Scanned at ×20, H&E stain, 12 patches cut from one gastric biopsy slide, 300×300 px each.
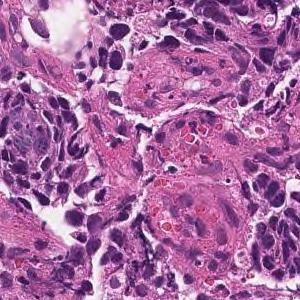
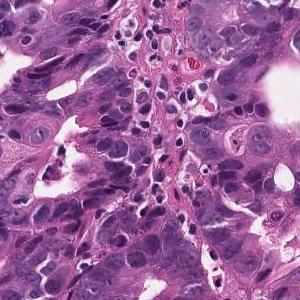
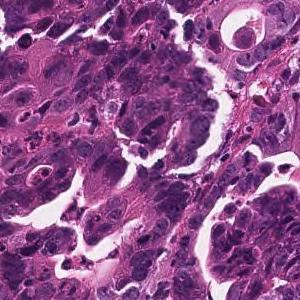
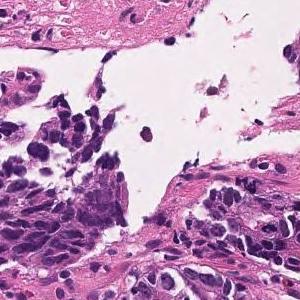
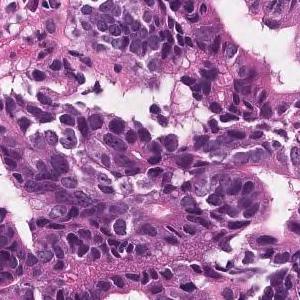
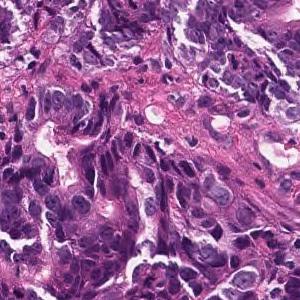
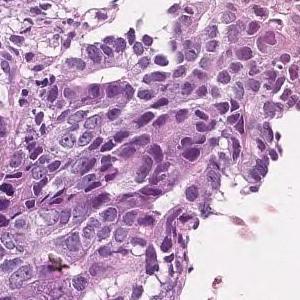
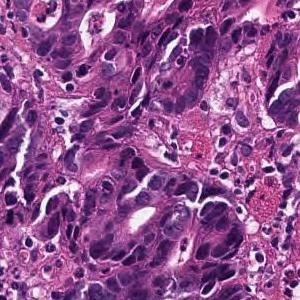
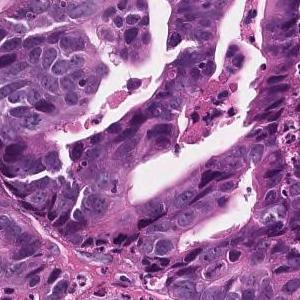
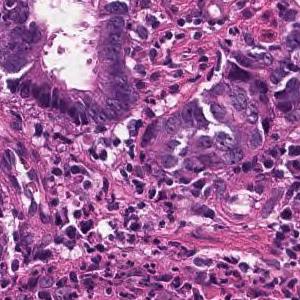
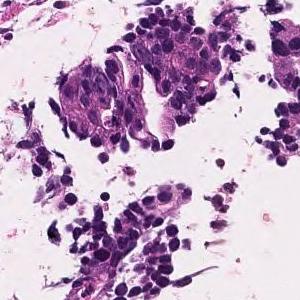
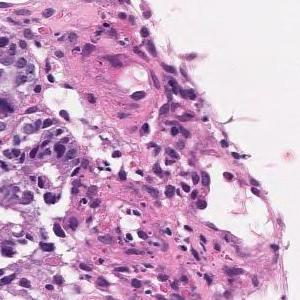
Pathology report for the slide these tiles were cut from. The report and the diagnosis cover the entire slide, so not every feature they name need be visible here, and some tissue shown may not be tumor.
In the superficial epithelium, tumor tissue that invades by forming medium-sized to small, irregular ducts is observed. moderately differentiated tubular adenocarcinoma.
